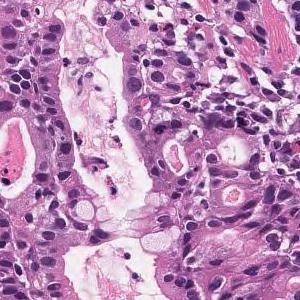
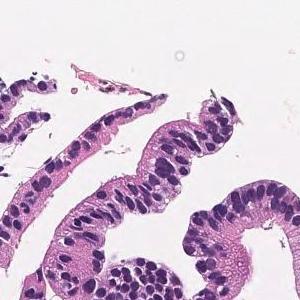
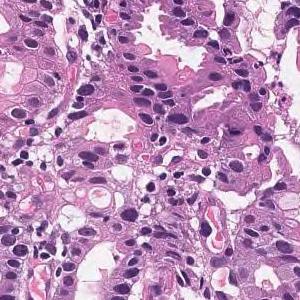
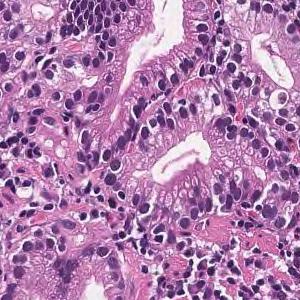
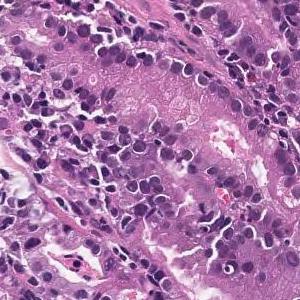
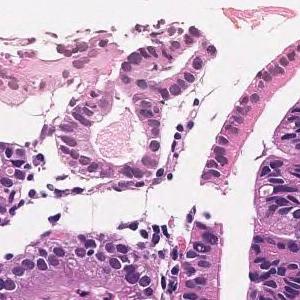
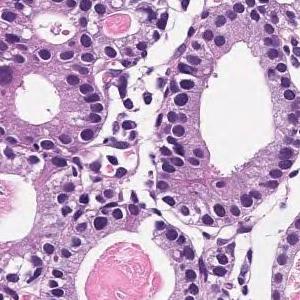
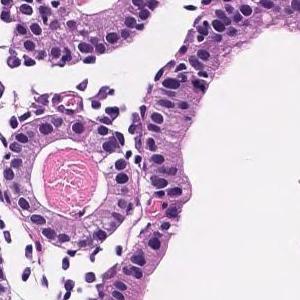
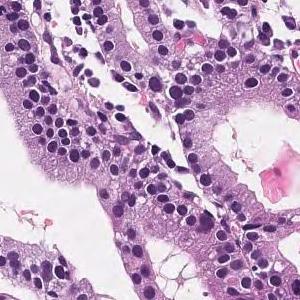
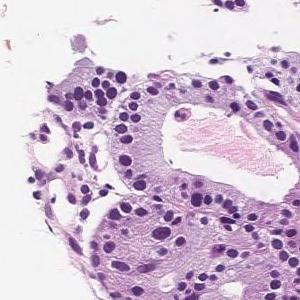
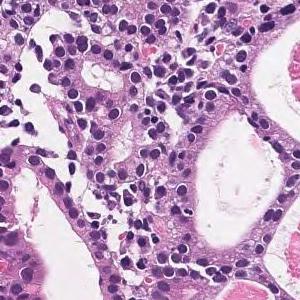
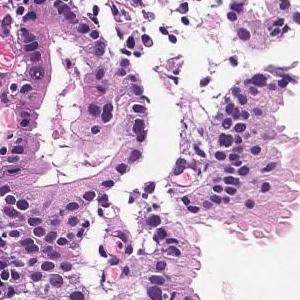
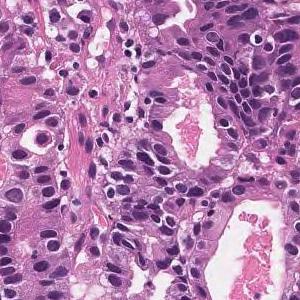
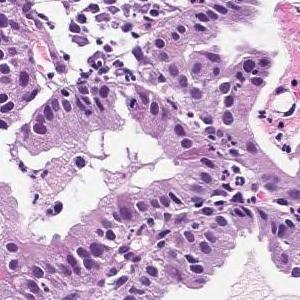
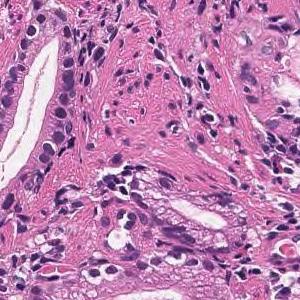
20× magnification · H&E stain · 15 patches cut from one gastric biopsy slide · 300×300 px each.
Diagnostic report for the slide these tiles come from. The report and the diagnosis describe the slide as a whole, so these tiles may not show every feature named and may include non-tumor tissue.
Medium to small, irregular glandular ducts are formed in the superficial epithelium, and in some cases, the glandular ducts are fused to show solid alveolar lesions and infiltrating tumor tissue is observed. Moderately to poorly differentiated adenocarcinoma.
